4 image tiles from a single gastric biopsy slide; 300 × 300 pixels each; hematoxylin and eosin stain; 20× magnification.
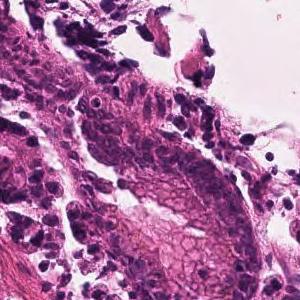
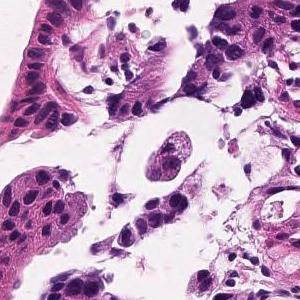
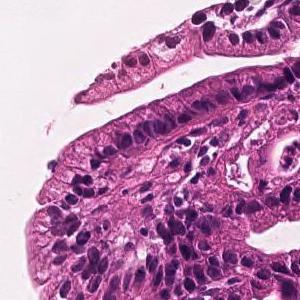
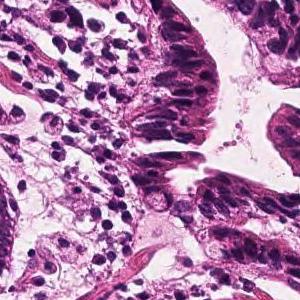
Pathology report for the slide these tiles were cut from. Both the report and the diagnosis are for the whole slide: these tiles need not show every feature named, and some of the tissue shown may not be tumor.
In the superficial epithelium, tumor tissue that invades by forming medium-sized to small, irregular ducts is observed. moderately differentiated tubular adenocarcinoma.
